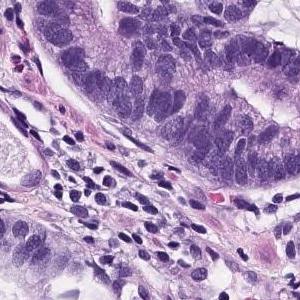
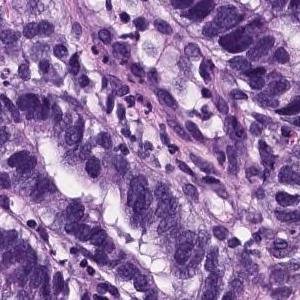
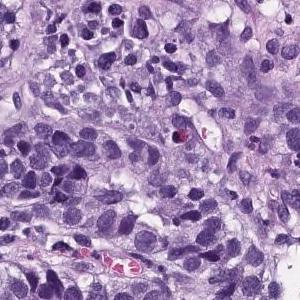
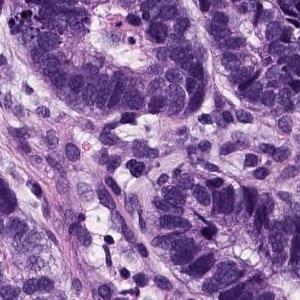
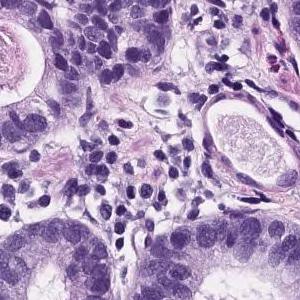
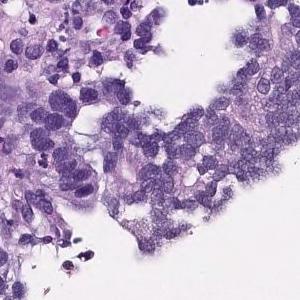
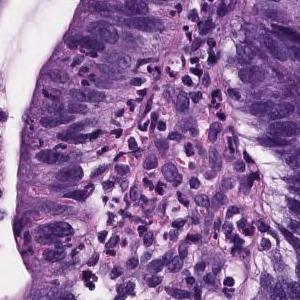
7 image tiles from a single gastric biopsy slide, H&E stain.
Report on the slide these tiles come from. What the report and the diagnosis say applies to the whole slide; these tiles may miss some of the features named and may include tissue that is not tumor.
On the superficial epithelium, tumor tissue consisting of large, irregular glandular ducts partially fused and infiltrated is observed. Well to moderately differentiated tubular adenocarcinoma (well differentiated tubular adenocarcinoma, moderately differentiated tubular adenocarcinoma)
The dataset labels this slide well differentiated tubular adenocarcinoma.
